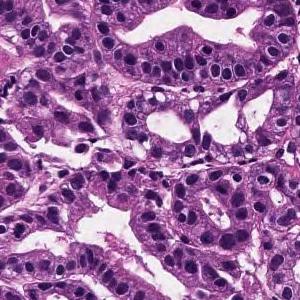
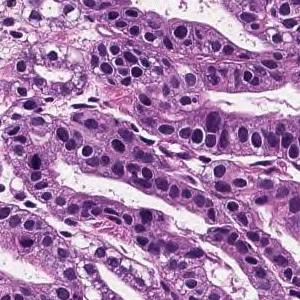
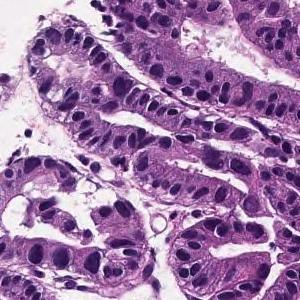
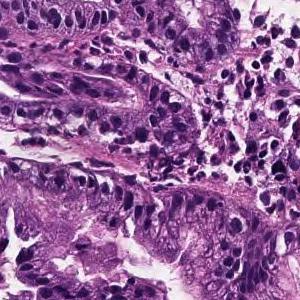
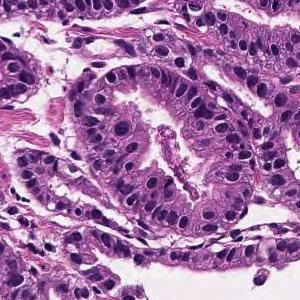
×20 · 5 patches cut from one gastric biopsy slide · 300×300 px each.
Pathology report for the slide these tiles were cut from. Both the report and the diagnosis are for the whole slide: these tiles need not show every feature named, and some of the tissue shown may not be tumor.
On the superficial epithelium, tumor tissue that infiltrates by forming medium-sized round or small irregular ducts is observed. Papillary adenocarcinoma
